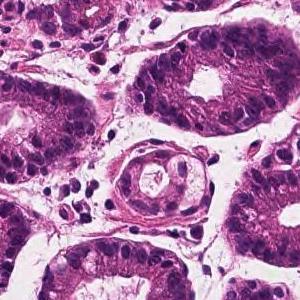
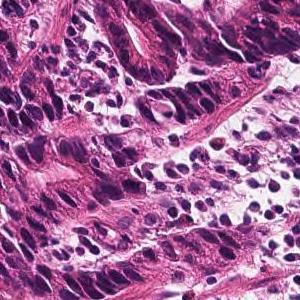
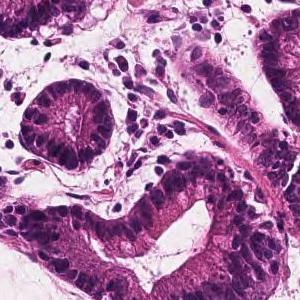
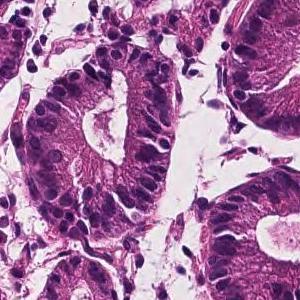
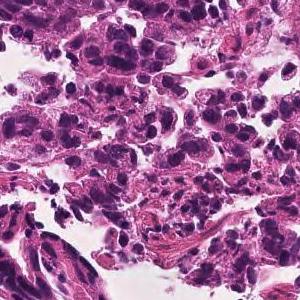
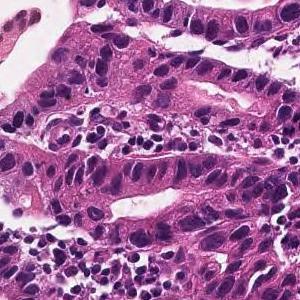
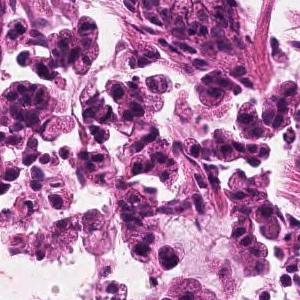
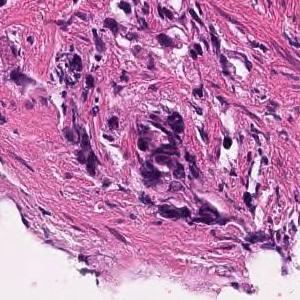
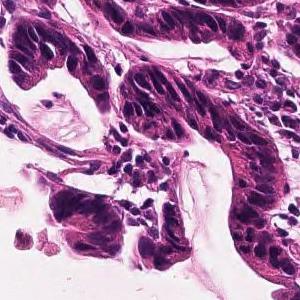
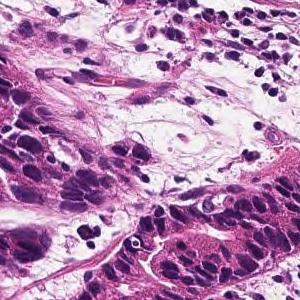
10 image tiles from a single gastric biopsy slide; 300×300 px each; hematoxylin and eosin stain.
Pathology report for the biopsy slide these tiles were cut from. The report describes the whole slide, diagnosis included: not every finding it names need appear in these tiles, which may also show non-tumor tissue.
In the superficial epithelium, tumor tissue that invades by forming medium-sized to small, irregular ducts is observed. moderately differentiated tubular adenocarcinoma.
